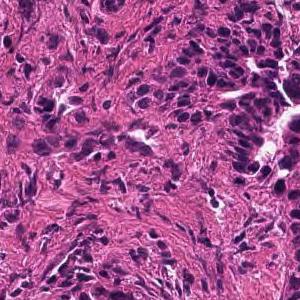
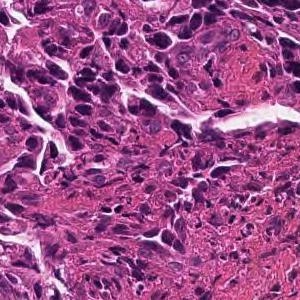
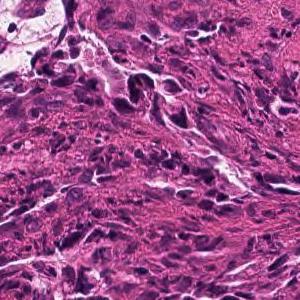
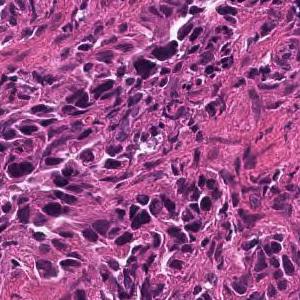
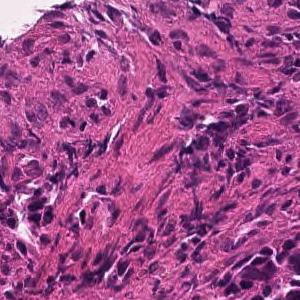
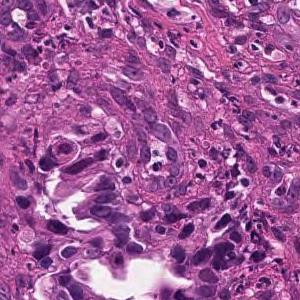
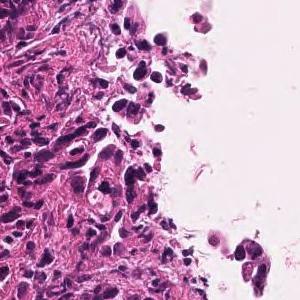
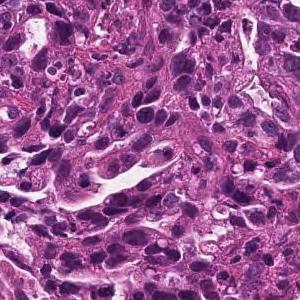
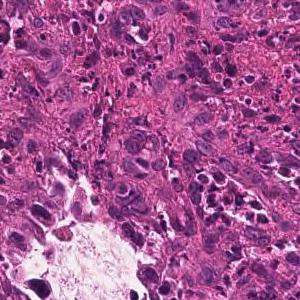
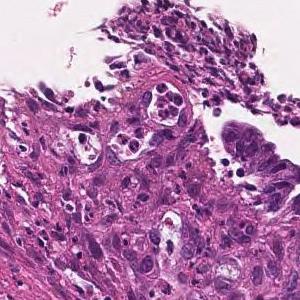
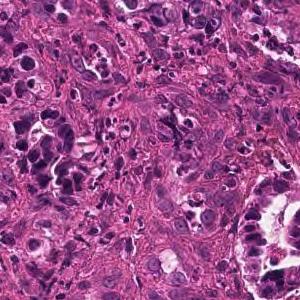
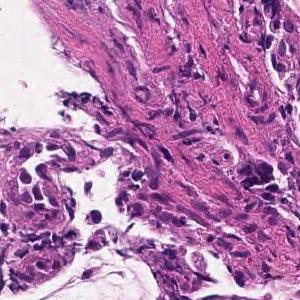
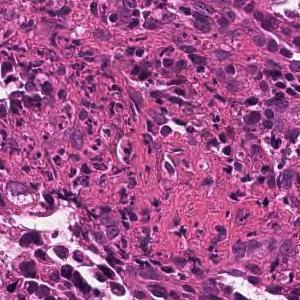
Hematoxylin and eosin stain; 13 patches cut from one gastric biopsy slide.
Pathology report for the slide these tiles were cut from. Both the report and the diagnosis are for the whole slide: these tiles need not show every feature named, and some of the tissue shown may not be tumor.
In the superficial epithelium, tumor tissue that invades by forming medium-sized to small, irregular ducts is observed. moderately differentiated tubular adenocarcinoma.
